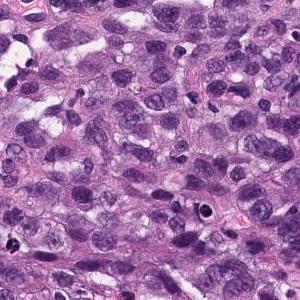
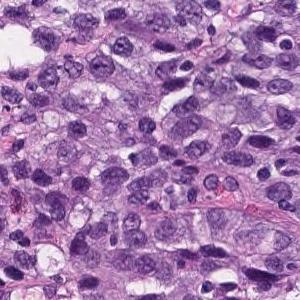
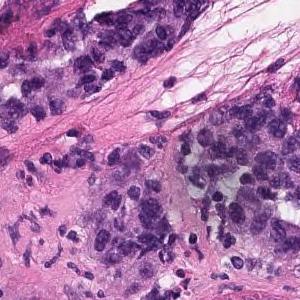
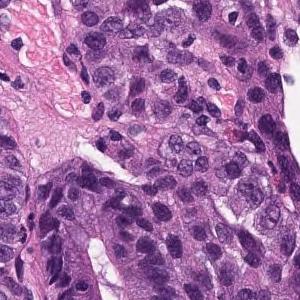
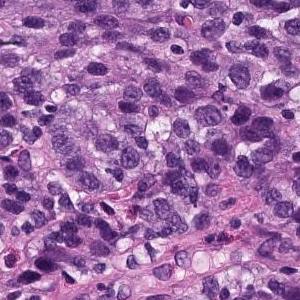
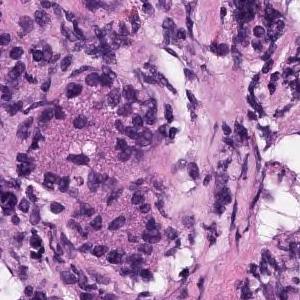
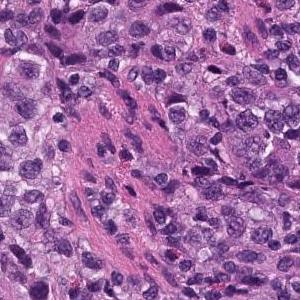
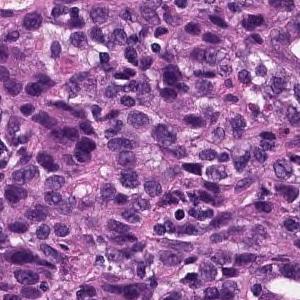
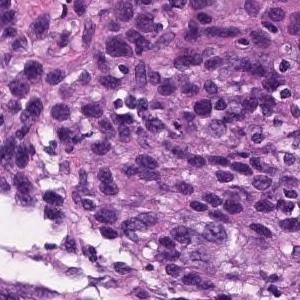
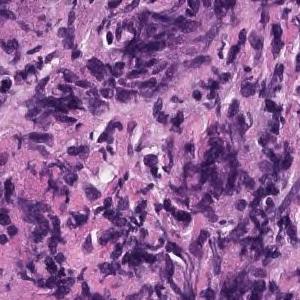
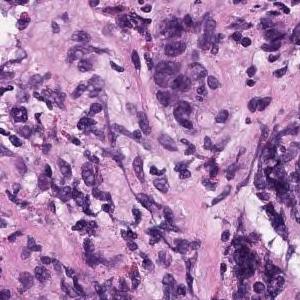
11 tiles from the same stomach biopsy slide · H&E stain.
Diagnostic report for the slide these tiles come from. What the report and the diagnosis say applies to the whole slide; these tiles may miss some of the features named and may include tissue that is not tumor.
In the superficial epithelium, tumor tissue that invades by forming medium-sized to small, irregular ducts is observed. Moderately differentiated adenocarcinoma.
Classified as moderately differentiated tubular adenocarcinoma.
